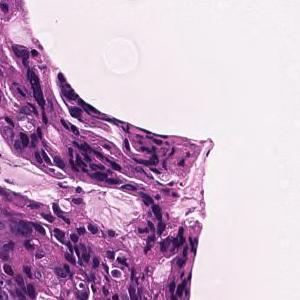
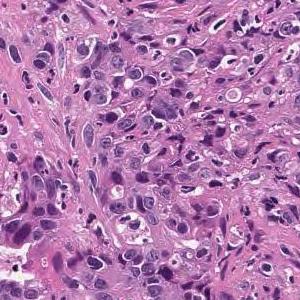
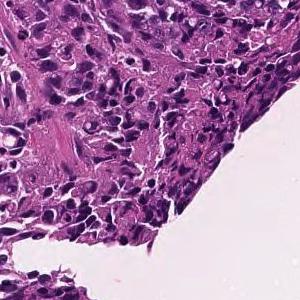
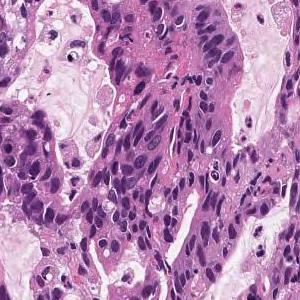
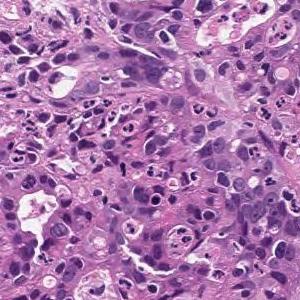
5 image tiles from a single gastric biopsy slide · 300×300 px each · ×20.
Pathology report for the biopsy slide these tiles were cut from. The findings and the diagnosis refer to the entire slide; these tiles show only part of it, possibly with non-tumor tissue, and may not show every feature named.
In the superficial epithelium, tumor tissue that invades by forming medium-sized to small, irregular ducts is observed. moderately differentiated tubular adenocarcinoma.
